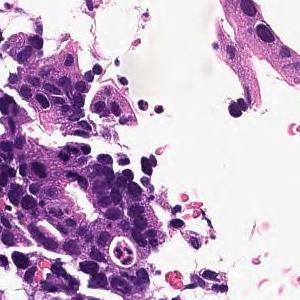
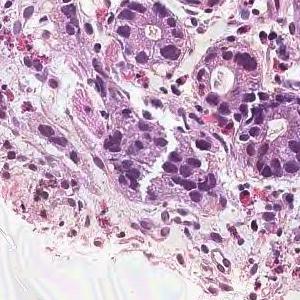
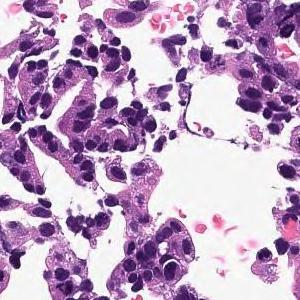
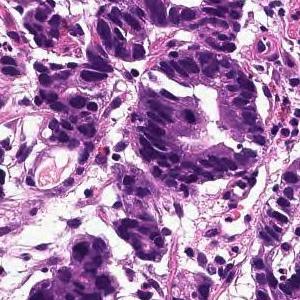
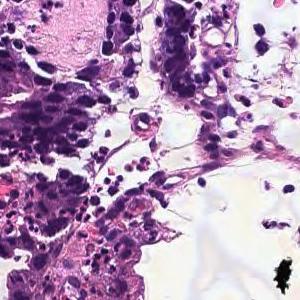
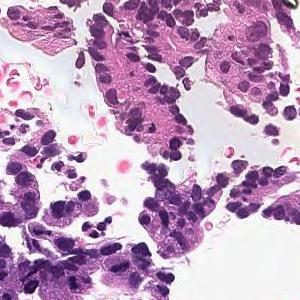
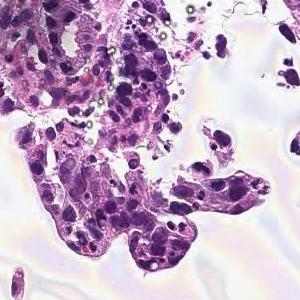
×20, 7 image tiles from a single gastric biopsy slide.
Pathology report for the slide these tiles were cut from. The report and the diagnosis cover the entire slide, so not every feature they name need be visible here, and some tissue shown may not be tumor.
In the superficial epithelium, tumor tissue that invades by forming medium-sized to small, irregular ducts is observed. moderately differentiated tubular adenocarcinoma.
